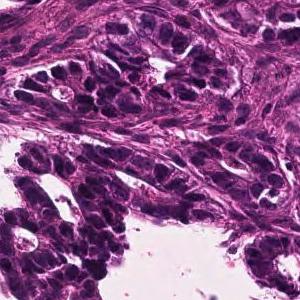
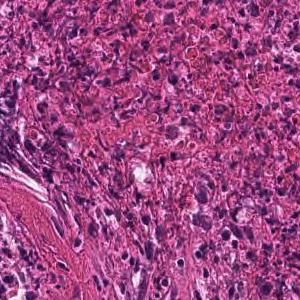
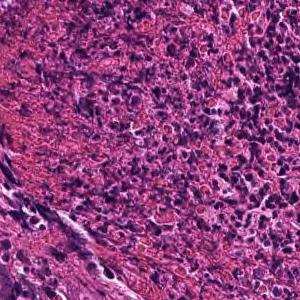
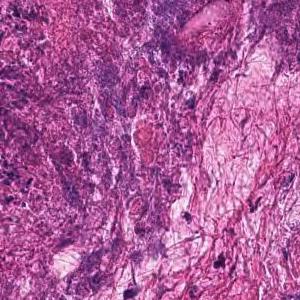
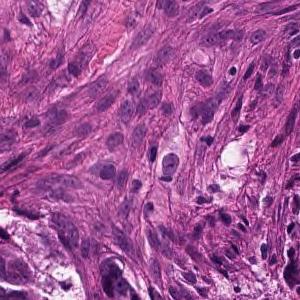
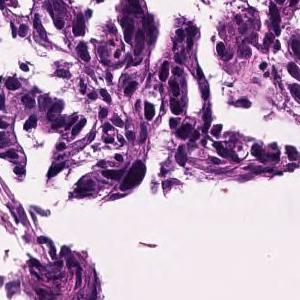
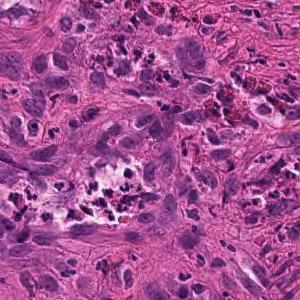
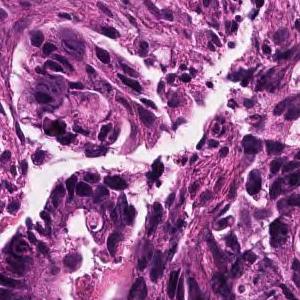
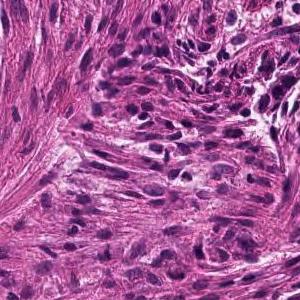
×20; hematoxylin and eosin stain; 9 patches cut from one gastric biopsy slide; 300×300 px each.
The pathologist's report on the biopsy slide these tiles were taken from. The report and the diagnosis cover the entire slide, so not every feature they name need be visible here, and some tissue shown may not be tumor.
In the superficial epithelium, tumor tissue that invades by forming medium-sized to small, irregular ducts is observed. moderately differentiated tubular adenocarcinoma.
